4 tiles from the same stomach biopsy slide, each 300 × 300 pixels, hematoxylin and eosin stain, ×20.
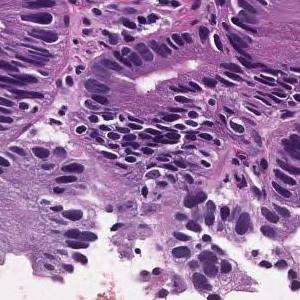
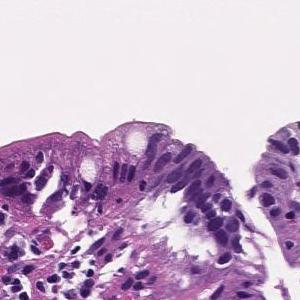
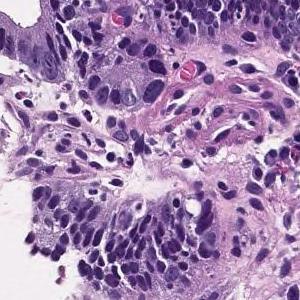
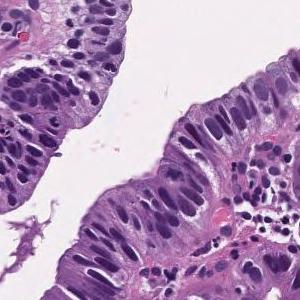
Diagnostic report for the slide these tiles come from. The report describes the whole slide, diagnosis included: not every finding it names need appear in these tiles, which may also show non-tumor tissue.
Tumor cells are large, highly columnar, large club-shaped nuclei, and are associated with chromatin aggregation. Papillary adenocarcinoma.
